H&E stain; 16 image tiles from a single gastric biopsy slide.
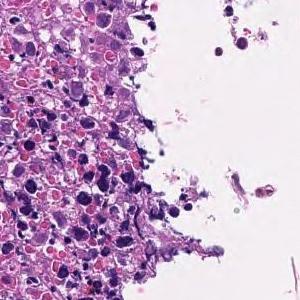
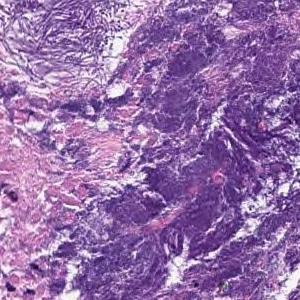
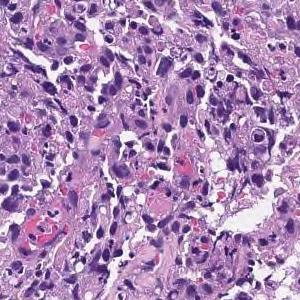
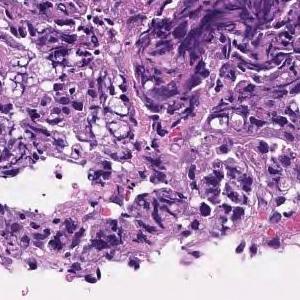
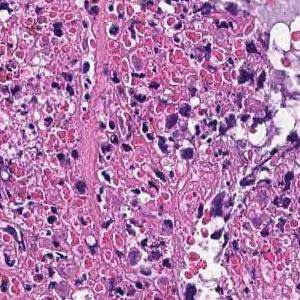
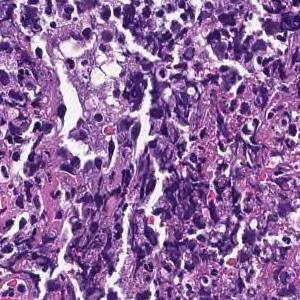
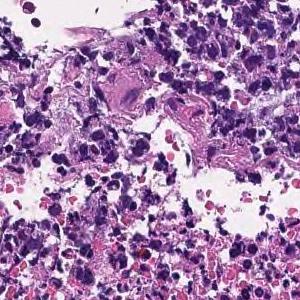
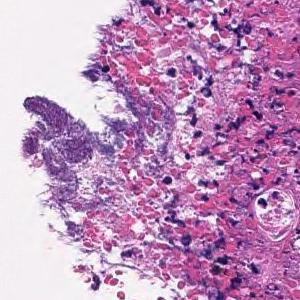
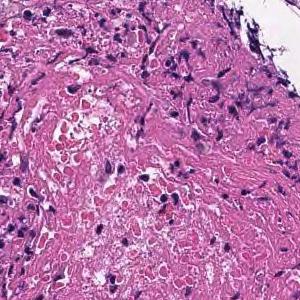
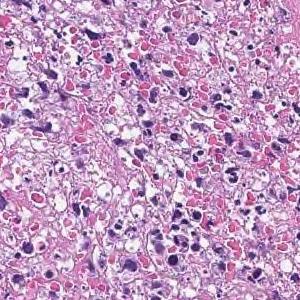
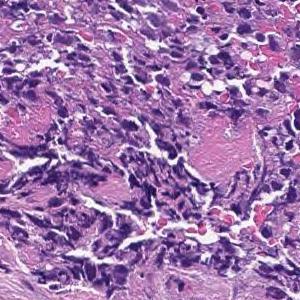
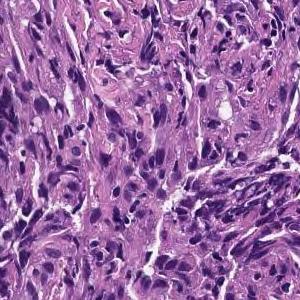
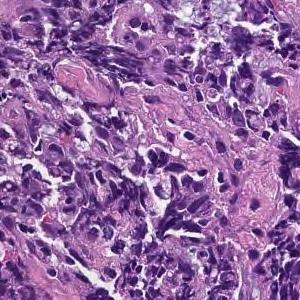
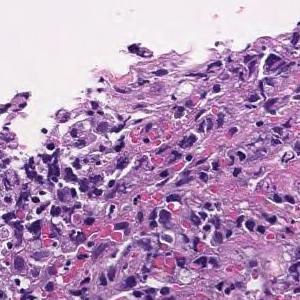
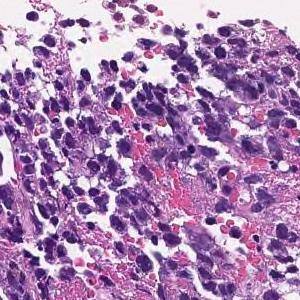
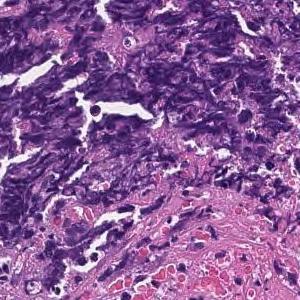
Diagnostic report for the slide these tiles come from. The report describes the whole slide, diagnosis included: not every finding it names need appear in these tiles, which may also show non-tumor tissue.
Most are composed of coagulative necrotic tissue, but some show a large sheet-like shape, and some show tumor tissue infiltrating with a small cord-like structure. Poorly differentiated adenocarcinoma, solid-type
Tumor subtype: poorly differentiated adenocarcinoma, solid type, a category of the Japanese Classification of Gastric Carcinoma; in the WHO 2019 classification it is tubular adenocarcinoma, poorly differentiated.
